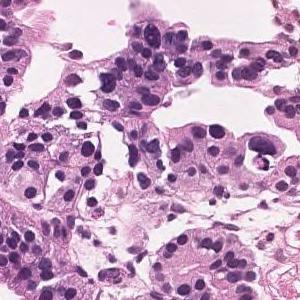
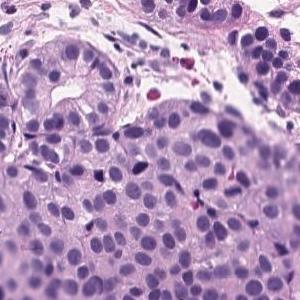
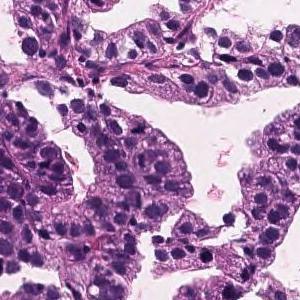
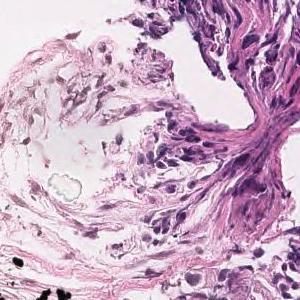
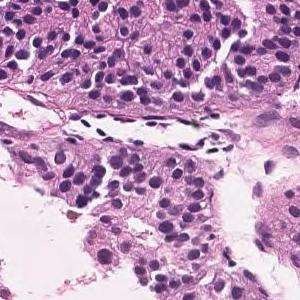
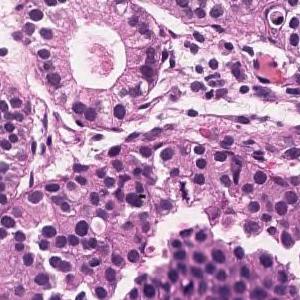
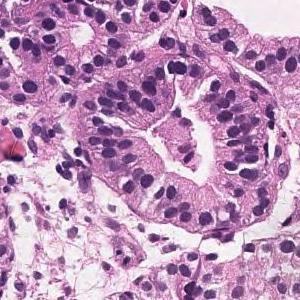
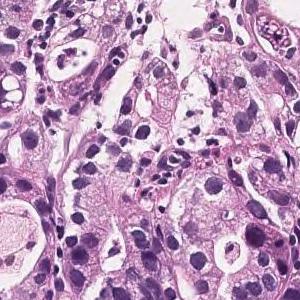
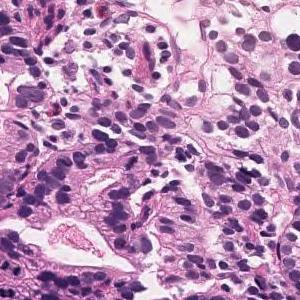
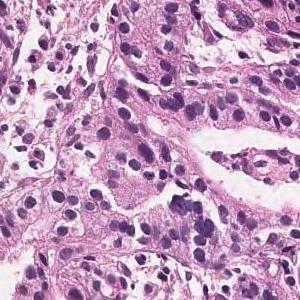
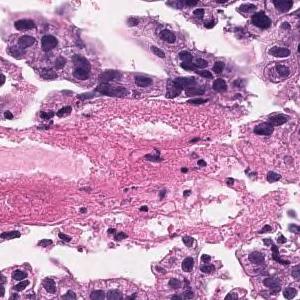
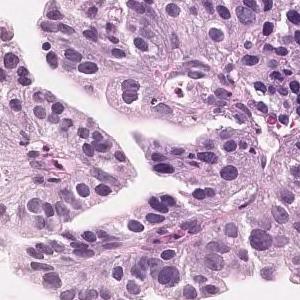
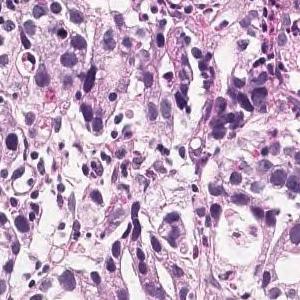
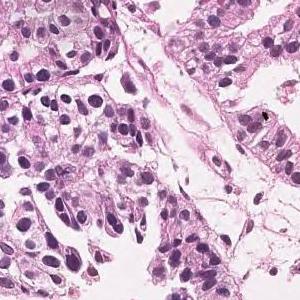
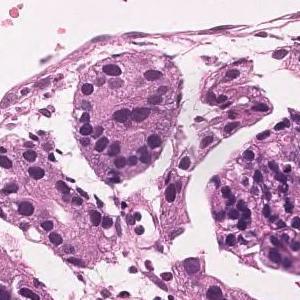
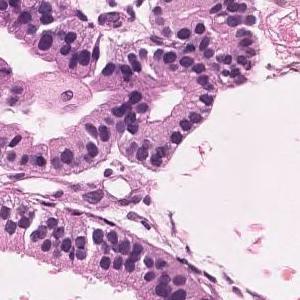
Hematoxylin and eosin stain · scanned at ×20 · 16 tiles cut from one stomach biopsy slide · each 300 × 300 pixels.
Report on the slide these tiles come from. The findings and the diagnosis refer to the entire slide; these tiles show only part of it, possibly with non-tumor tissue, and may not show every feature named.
In the superficial epithelium, tumor tissue that invades by forming medium-sized to small, irregular ducts is observed. moderately differentiated tubular adenocarcinoma.
